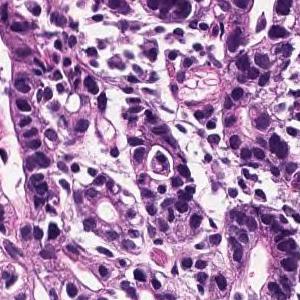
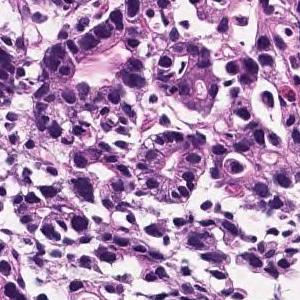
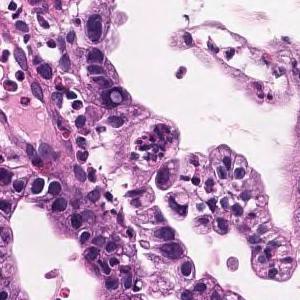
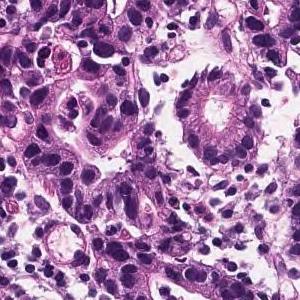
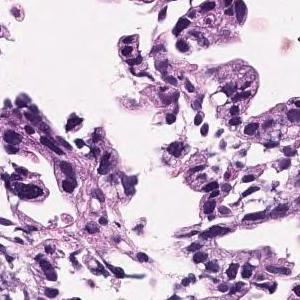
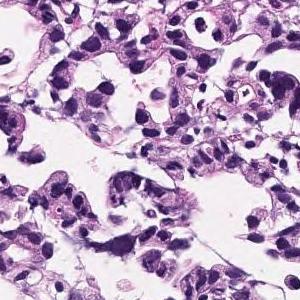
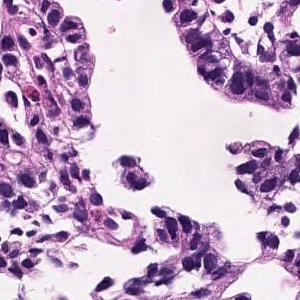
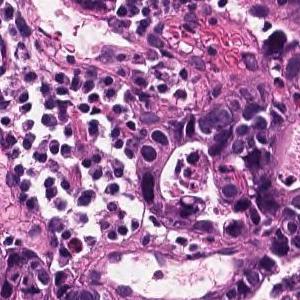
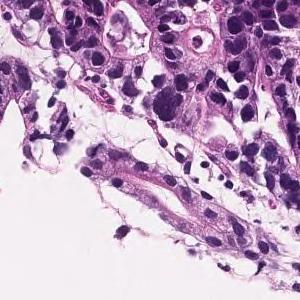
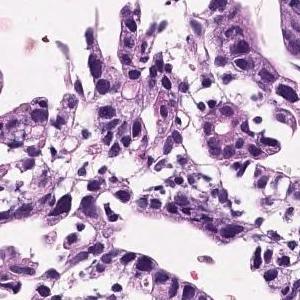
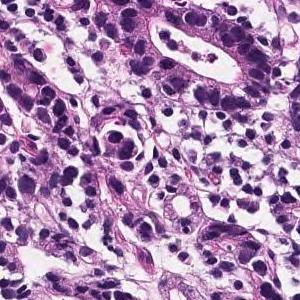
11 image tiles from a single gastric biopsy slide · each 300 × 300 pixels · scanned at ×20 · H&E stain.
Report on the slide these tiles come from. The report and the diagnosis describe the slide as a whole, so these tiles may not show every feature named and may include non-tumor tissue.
On the superficial epithelium, tumor tissue consisting of large, irregular glandular ducts partially fused and infiltrated is observed. Well to moderately differentiated tubular adenocarcinoma (well differentiated tubular adenocarcinoma, moderately differentiated tubular adenocarcinoma)
Classified as well to moderately differentiated tubular adenocarcinoma.
